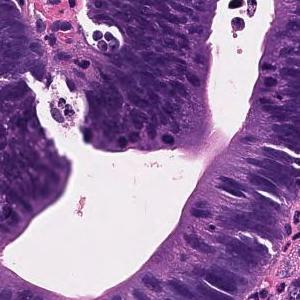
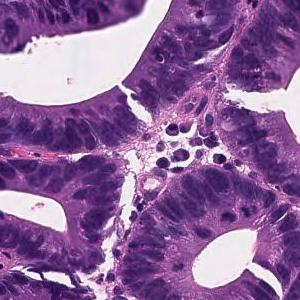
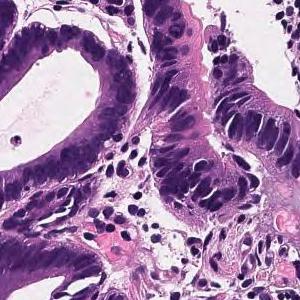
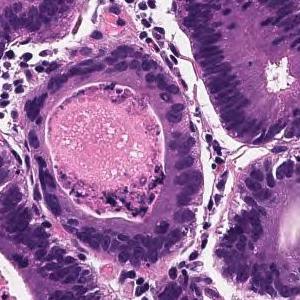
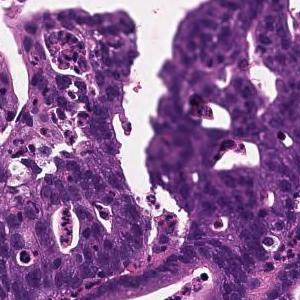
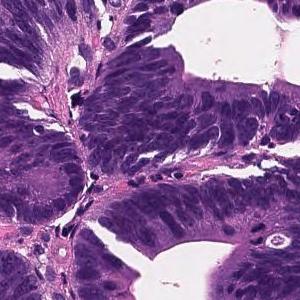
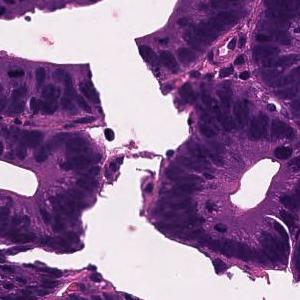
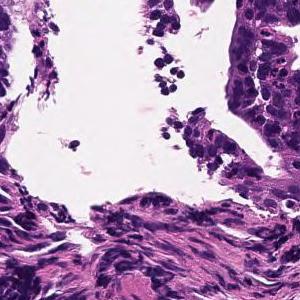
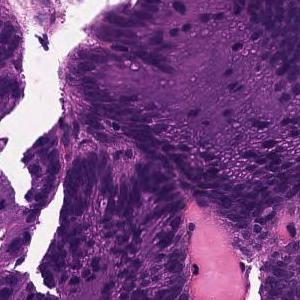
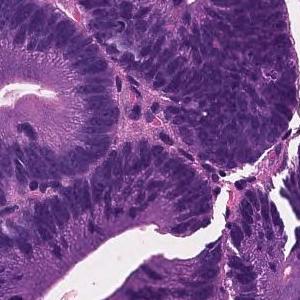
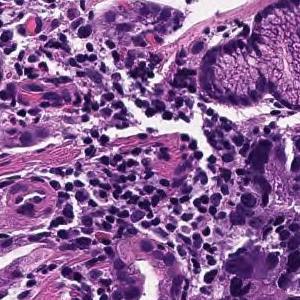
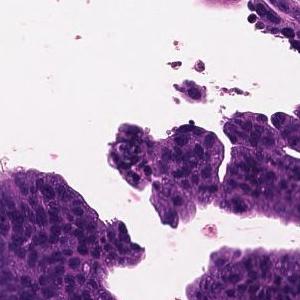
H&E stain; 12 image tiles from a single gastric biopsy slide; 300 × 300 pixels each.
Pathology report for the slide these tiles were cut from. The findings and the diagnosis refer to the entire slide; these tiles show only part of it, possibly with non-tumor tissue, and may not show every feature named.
Tumor tissue consisting of large papillary structures is found in the superficial epithelium. Papillary adenocarcinoma.
